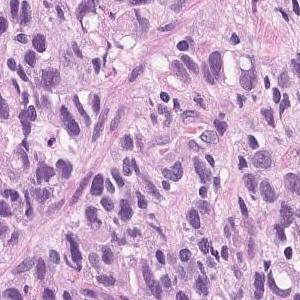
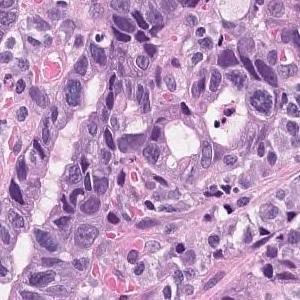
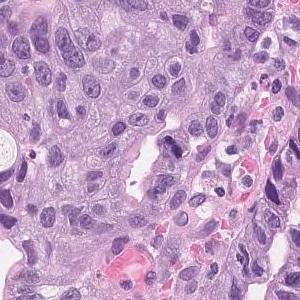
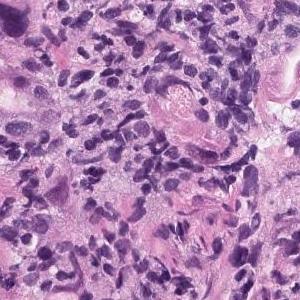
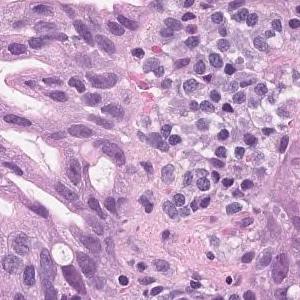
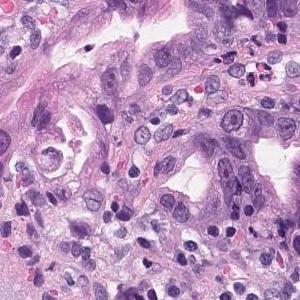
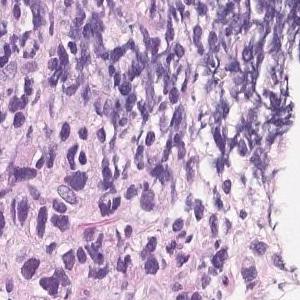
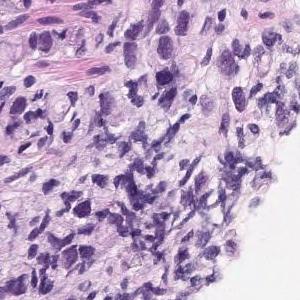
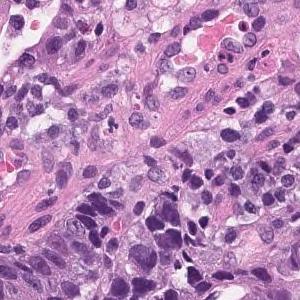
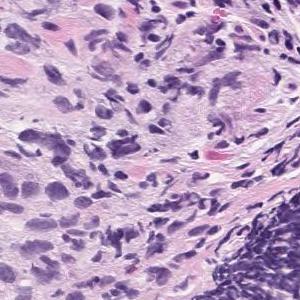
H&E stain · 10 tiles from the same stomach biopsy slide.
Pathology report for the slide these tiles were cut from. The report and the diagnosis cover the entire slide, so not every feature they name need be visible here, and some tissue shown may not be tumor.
Tumor tissue consisting of medium-sized, cord-like or irregular glandular infiltration is observed in the superficial epithelium. Poorly differentiated adenocarcinoma, non-solid type or moderately differentiated tubular adenocarcinoma
Labeled in the dataset as poorly differentiated adenocarcinoma, non-solid type.
The term "non-solid type" comes from the Japanese Classification of Gastric Carcinoma.
